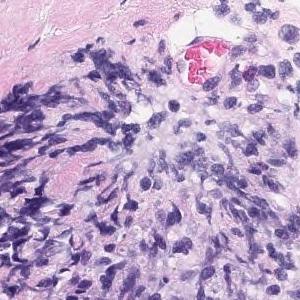
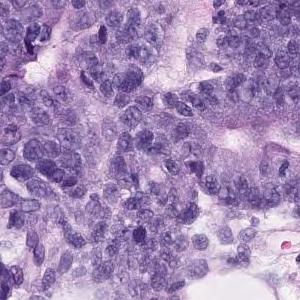
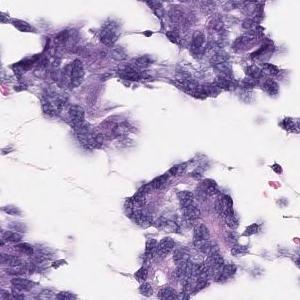
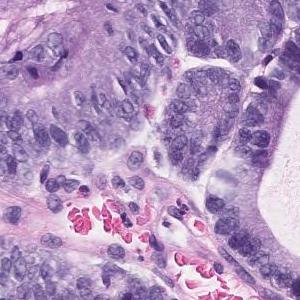
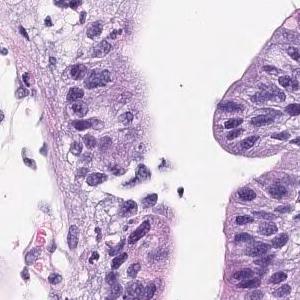
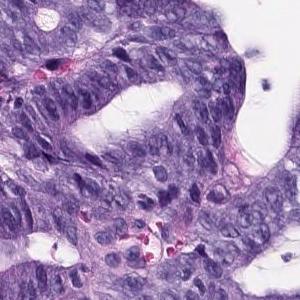
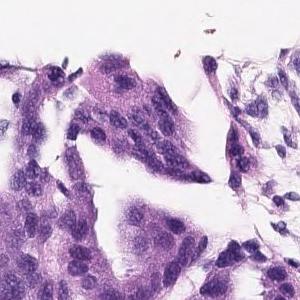
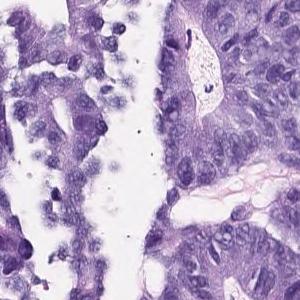
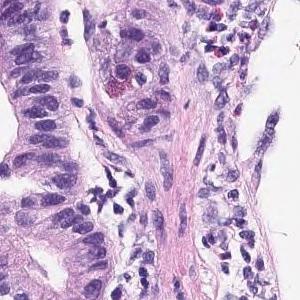
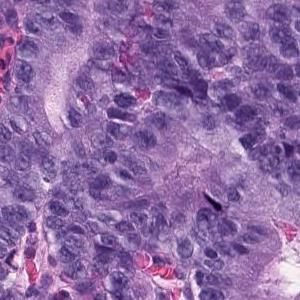
10 patches cut from one gastric biopsy slide, H&E.
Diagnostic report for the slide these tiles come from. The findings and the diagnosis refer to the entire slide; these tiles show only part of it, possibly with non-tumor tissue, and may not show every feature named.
In the superficial epithelium, tumor tissue that invades by forming medium-sized to small, irregular ducts is observed. Well to moderately differentiated tubular adenocarcinoma.
